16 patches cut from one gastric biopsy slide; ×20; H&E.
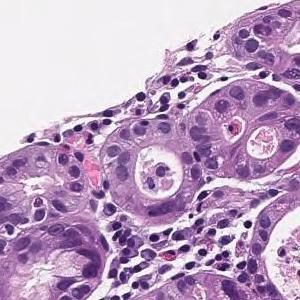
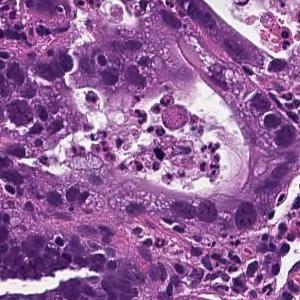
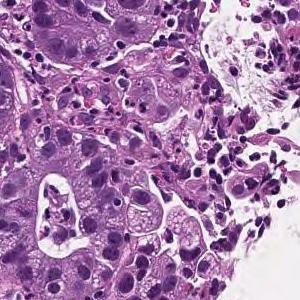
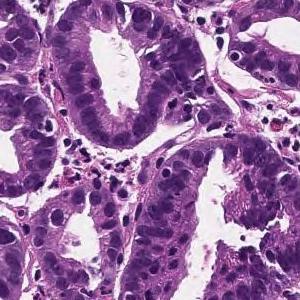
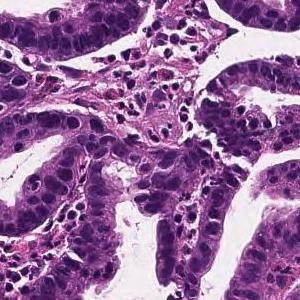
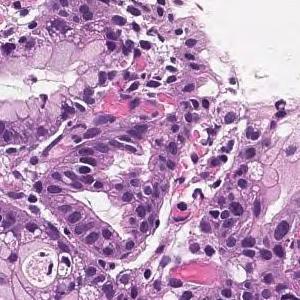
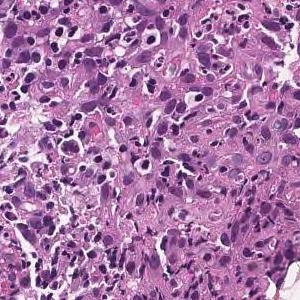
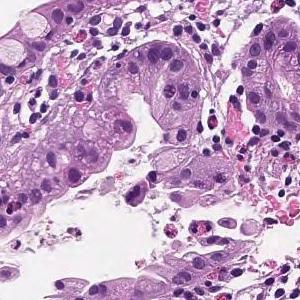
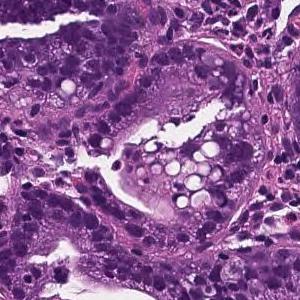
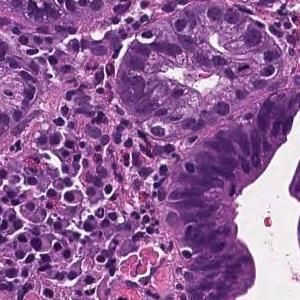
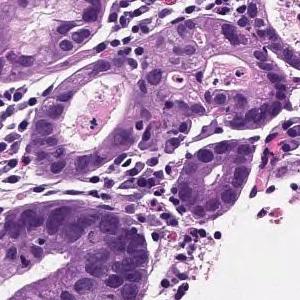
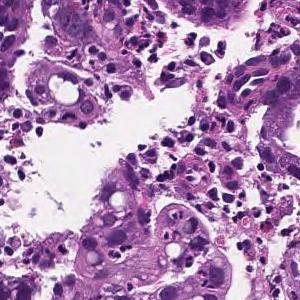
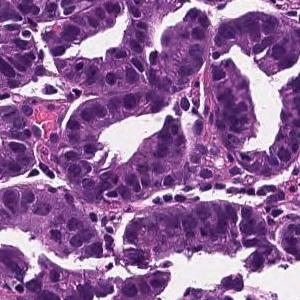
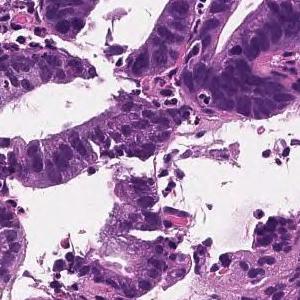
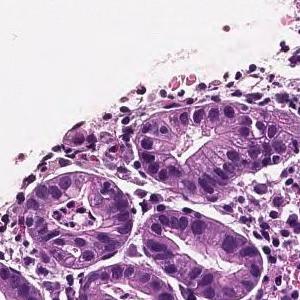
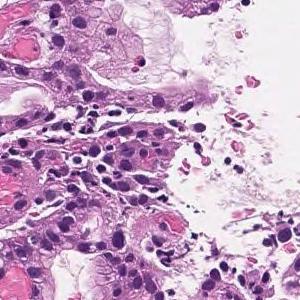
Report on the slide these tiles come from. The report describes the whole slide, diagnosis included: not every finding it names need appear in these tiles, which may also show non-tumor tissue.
On the superficial epithelium, tumor tissue consisting of medium-sized irregular or small round gland ducts showing a small cord-like shape and infiltrating is observed. Well differentiated tubular adenocarcinoma or Poorly differentiated adenocarcinoma, non-solid type
Labeled in the dataset as well differentiated tubular adenocarcinoma.
"Non-solid type" is a category of the Japanese Classification of Gastric Carcinoma.
